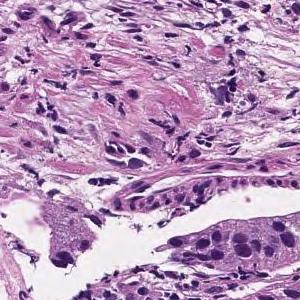
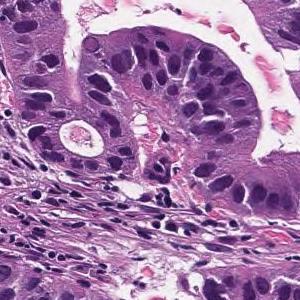
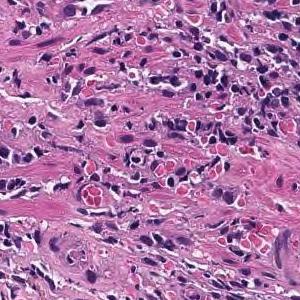
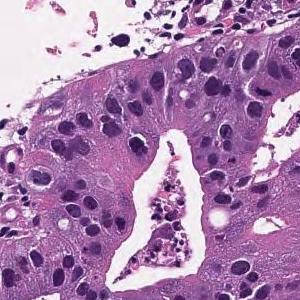
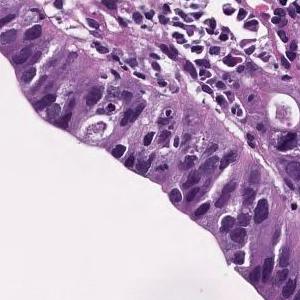
5 tiles from the same stomach biopsy slide; ×20.
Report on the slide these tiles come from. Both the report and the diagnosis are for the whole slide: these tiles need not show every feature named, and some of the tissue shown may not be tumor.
Tumor cells are large, highly columnar, large club-shaped nuclei, and are associated with chromatin aggregation. Papillary adenocarcinoma.
